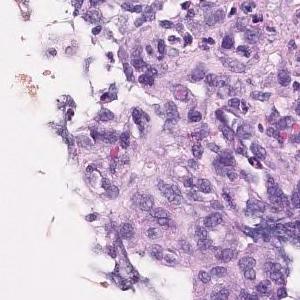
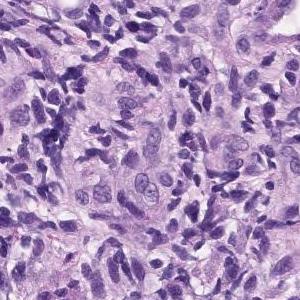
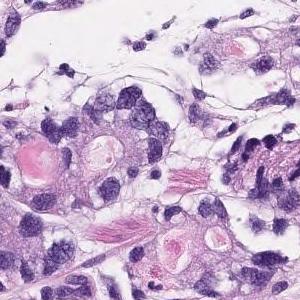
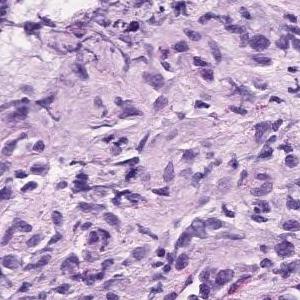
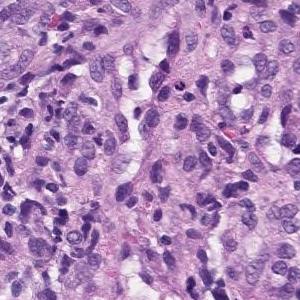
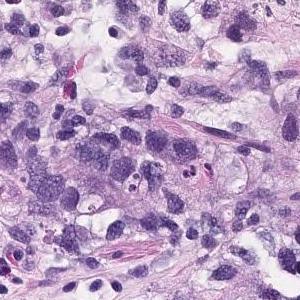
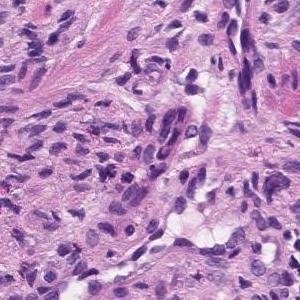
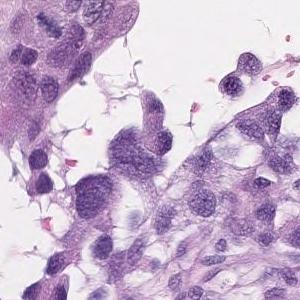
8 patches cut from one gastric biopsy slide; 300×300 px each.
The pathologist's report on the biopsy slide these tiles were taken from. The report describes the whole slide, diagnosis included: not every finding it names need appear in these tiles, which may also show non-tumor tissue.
Group 5, Adenocarcinoma. Moderately to poorly differentiated adenocarcinoma
